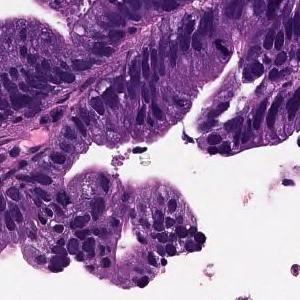
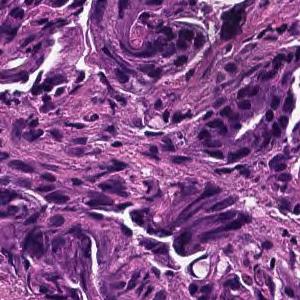
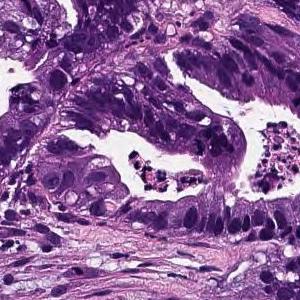
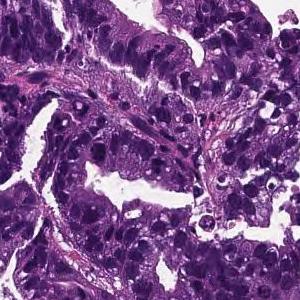
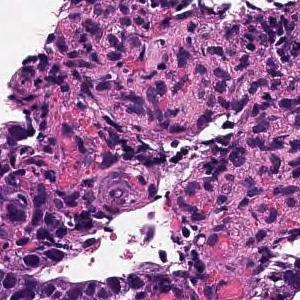
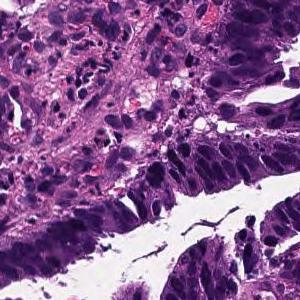
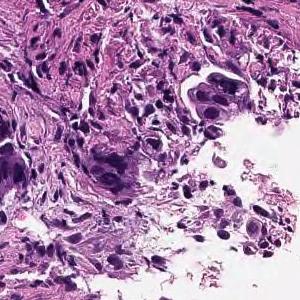
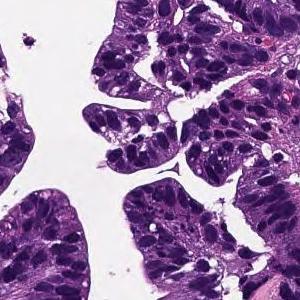
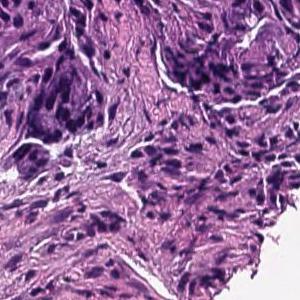
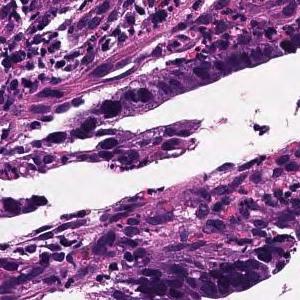
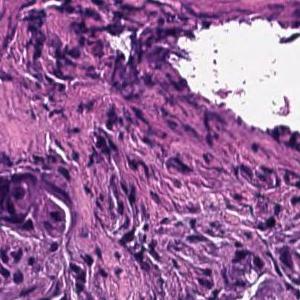
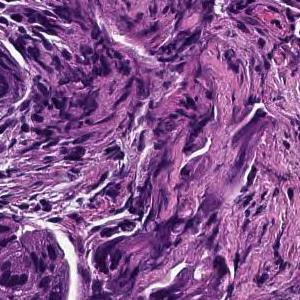
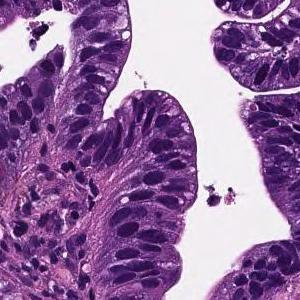
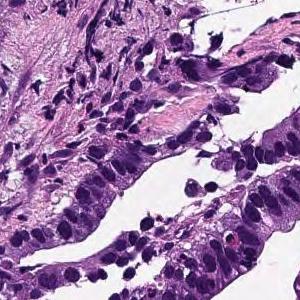
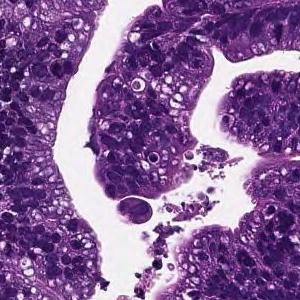
15 tiles from the same stomach biopsy slide · each 300 × 300 pixels · 20× magnification · hematoxylin and eosin stain.
Report on the slide these tiles come from. The report and the diagnosis describe the slide as a whole, so these tiles may not show every feature named and may include non-tumor tissue.
Tumor cells are large, highly columnar, large club-shaped nuclei, and are associated with chromatin aggregation. Papillary adenocarcinoma.
